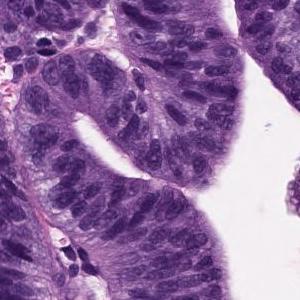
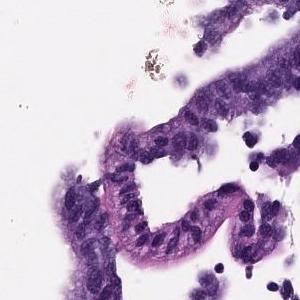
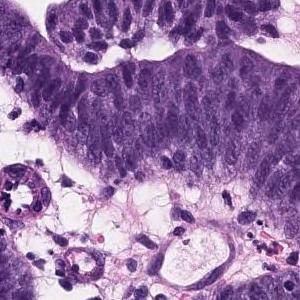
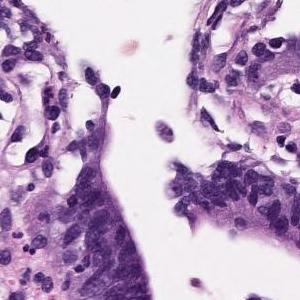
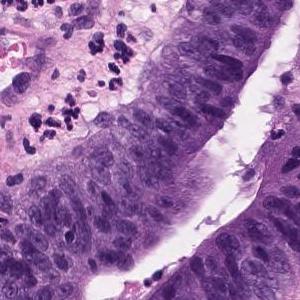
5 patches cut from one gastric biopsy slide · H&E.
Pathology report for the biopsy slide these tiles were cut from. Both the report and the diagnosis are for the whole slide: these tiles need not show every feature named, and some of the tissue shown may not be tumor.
Papillo-tubular growth of atypical tubules with nuclear swelling is observed. Well differentiated tubular adenocarcinoma
